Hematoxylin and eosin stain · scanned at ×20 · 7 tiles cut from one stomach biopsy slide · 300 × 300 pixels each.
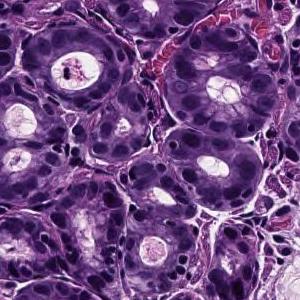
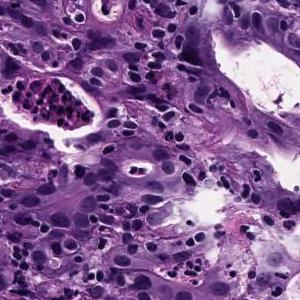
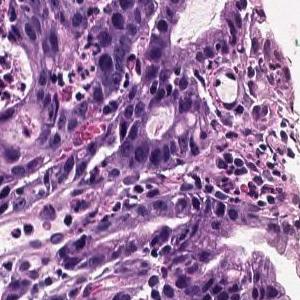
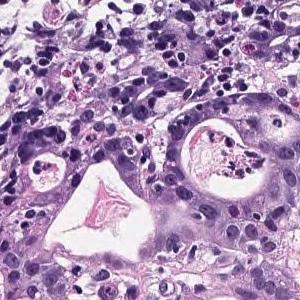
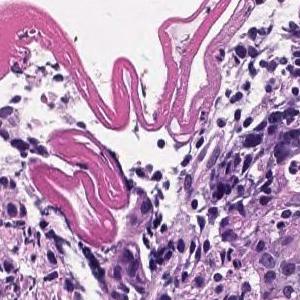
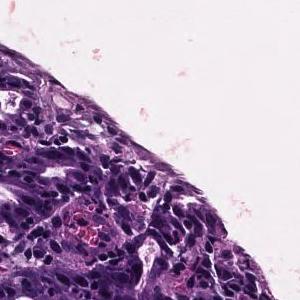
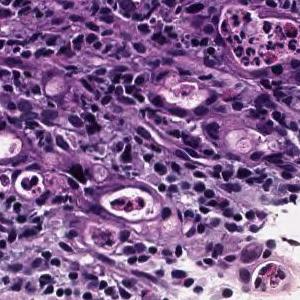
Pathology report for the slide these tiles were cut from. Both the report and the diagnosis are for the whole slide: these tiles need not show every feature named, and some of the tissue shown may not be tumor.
In the superficial epithelium, tumor tissue that invades by forming medium-sized to small, irregular ducts is observed. moderately differentiated tubular adenocarcinoma.
